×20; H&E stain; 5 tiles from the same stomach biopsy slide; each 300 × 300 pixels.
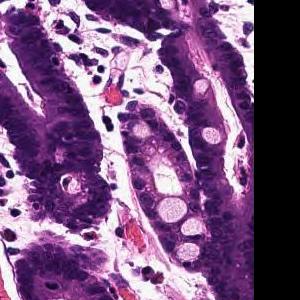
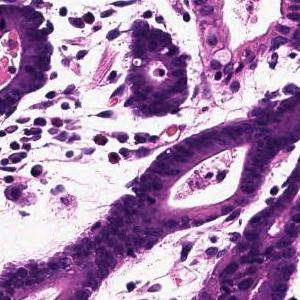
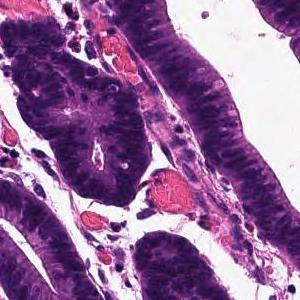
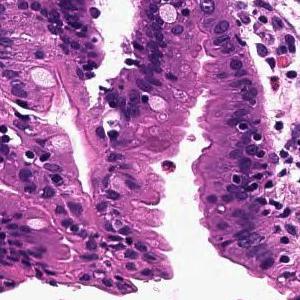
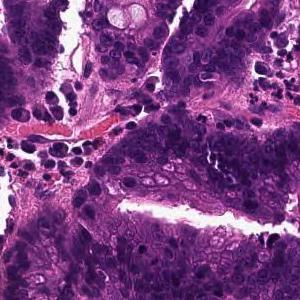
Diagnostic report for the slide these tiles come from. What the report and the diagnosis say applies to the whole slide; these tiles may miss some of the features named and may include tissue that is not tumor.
Tumor tissue that infiltrates by forming large papillary or large irregular glandular ducts is observed confined to the mucosa. Papillary adenocarcinoma
